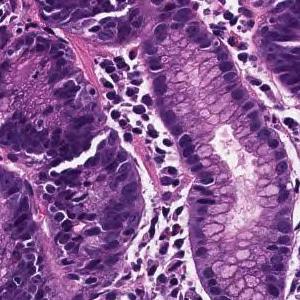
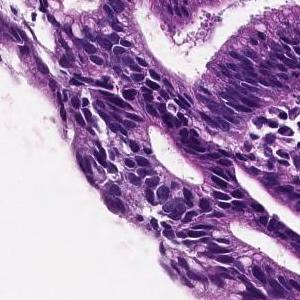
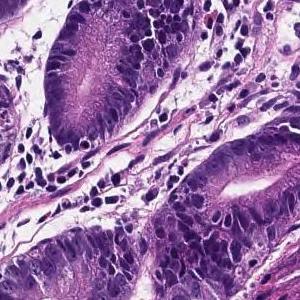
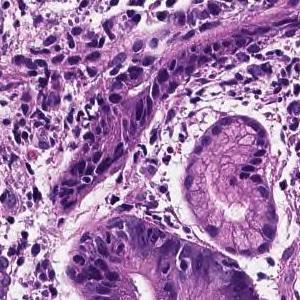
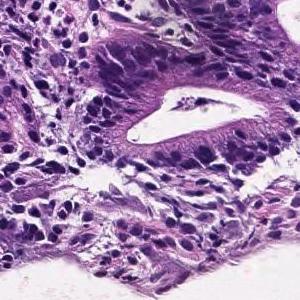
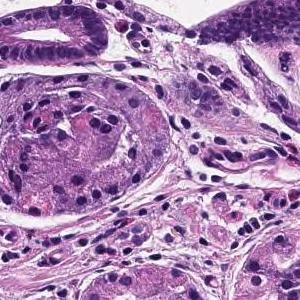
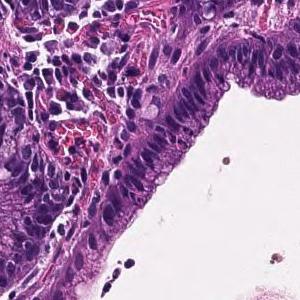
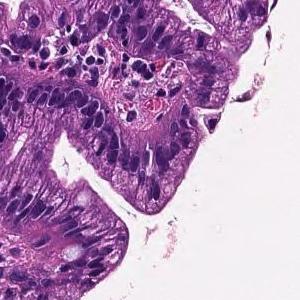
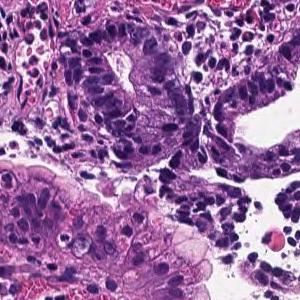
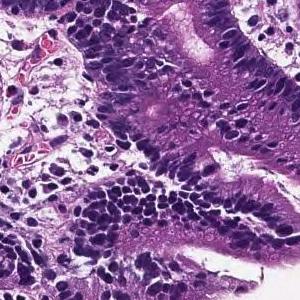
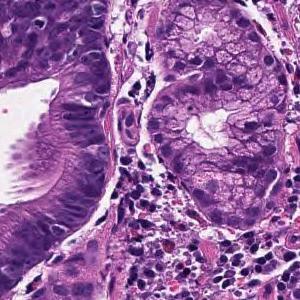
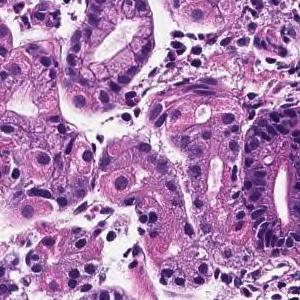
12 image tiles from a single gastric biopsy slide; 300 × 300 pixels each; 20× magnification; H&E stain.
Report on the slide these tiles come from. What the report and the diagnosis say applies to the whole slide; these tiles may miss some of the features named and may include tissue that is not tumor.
From the superficial epithelium to the muscularis mucosae, tumor tissue consisting of medium-sized and irregular glandular ducts infiltrating is observed. Well differentiated tubular adenocarcinoma
